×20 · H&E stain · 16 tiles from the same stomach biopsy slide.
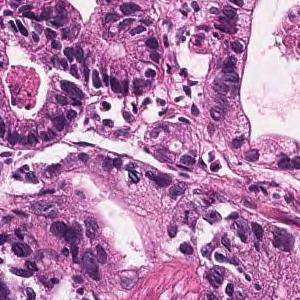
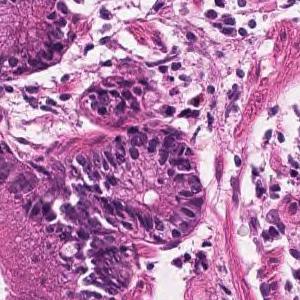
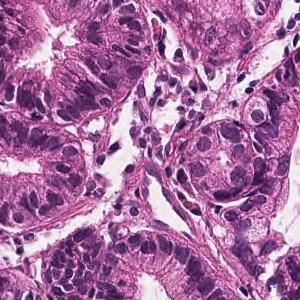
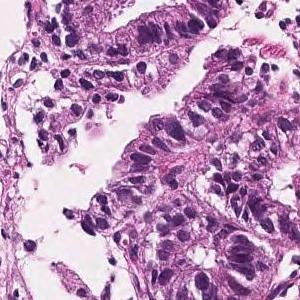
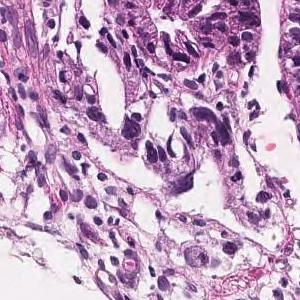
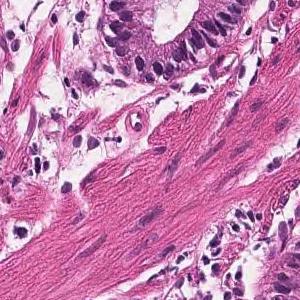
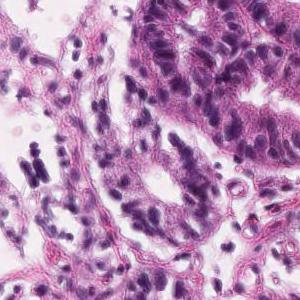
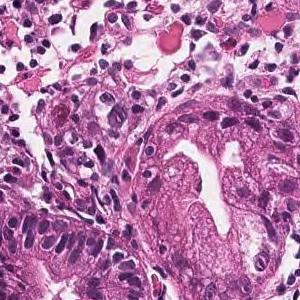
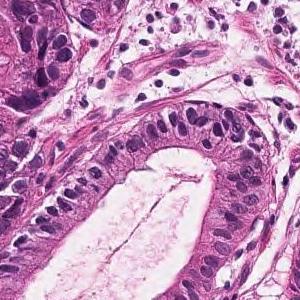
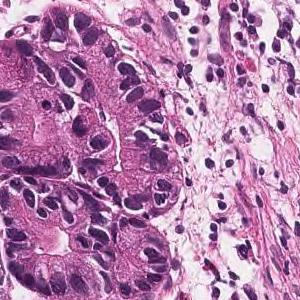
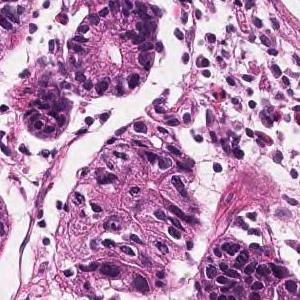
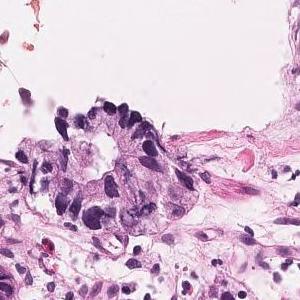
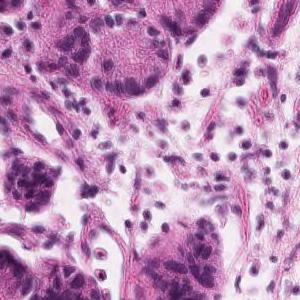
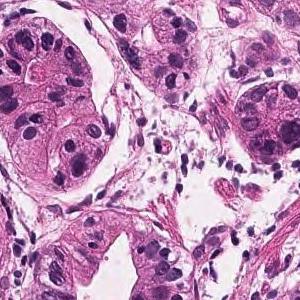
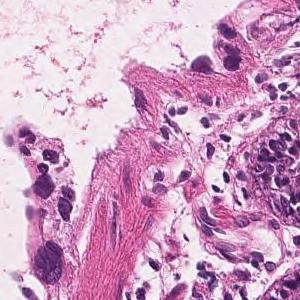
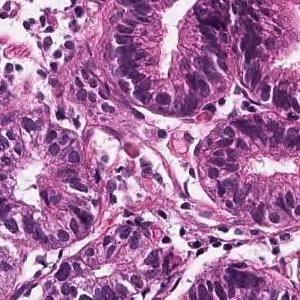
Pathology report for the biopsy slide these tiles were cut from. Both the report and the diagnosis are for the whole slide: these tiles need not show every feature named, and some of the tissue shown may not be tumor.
On the superficial epithelium, tumor tissue that infiltrates by forming medium-sized papillary or small irregular ducts is observed. Papillary adenocarcinoma
